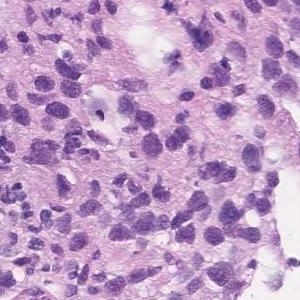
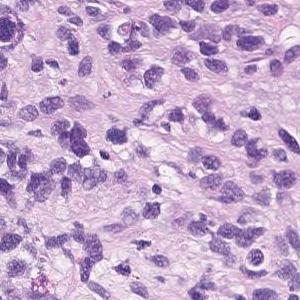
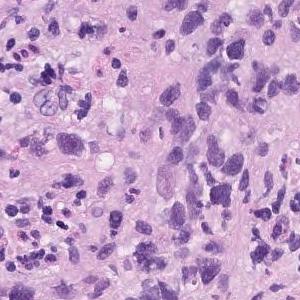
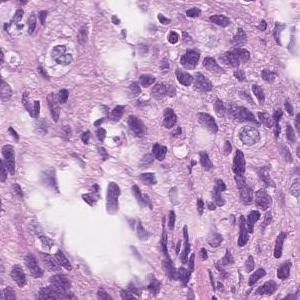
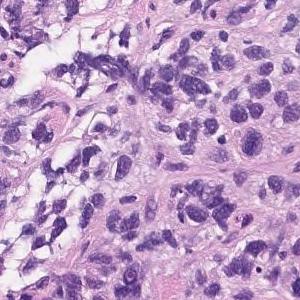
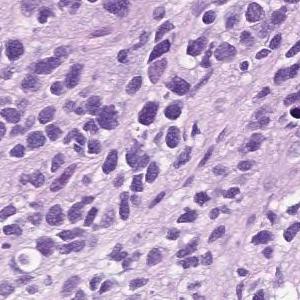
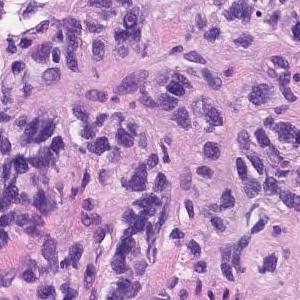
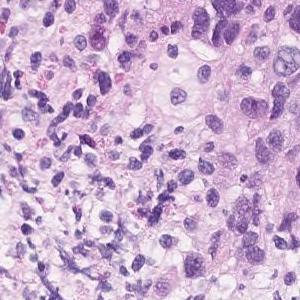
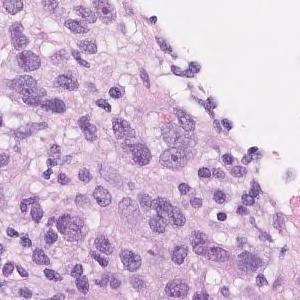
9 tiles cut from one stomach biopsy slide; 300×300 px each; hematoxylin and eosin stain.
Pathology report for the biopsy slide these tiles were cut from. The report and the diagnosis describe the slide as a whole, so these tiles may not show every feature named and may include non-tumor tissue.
Atypical l cells with atypical nuclei under the mucosa growing in isolation and scattered. Poorly differentiated adenocarcinoma (poorly differentiated adenocarcinoma, non-solid type)
Histologic type: Poorly differentiated adenocarcinoma, non-solid type.
The non-solid type named here is a Japanese Classification of Gastric Carcinoma category.
